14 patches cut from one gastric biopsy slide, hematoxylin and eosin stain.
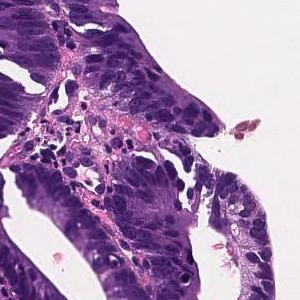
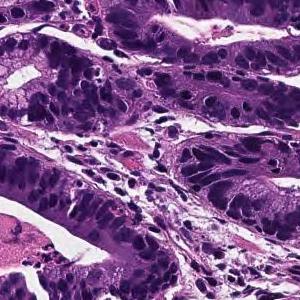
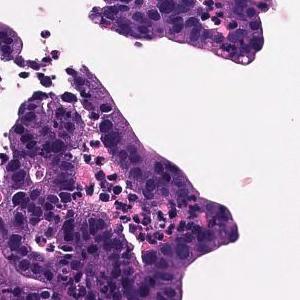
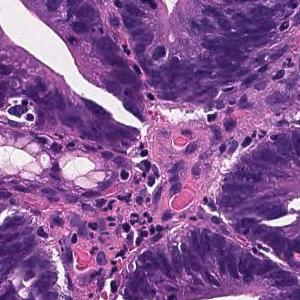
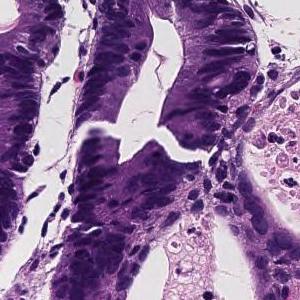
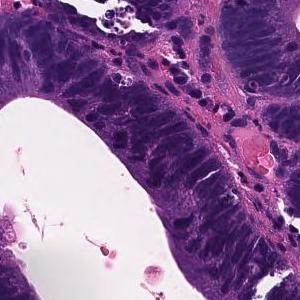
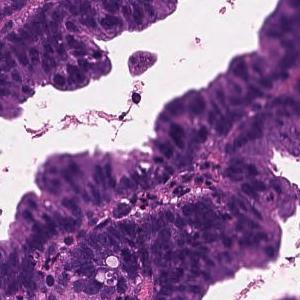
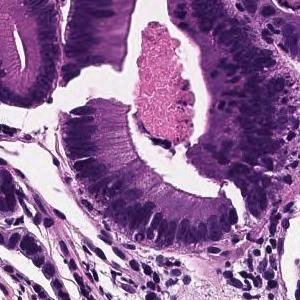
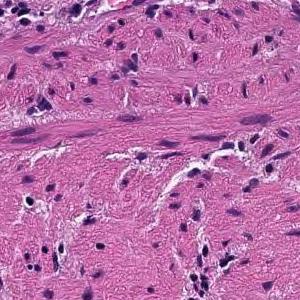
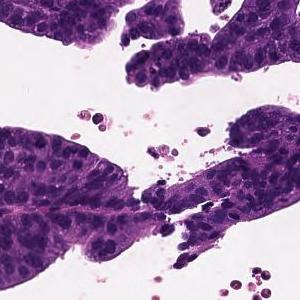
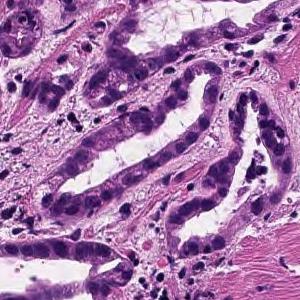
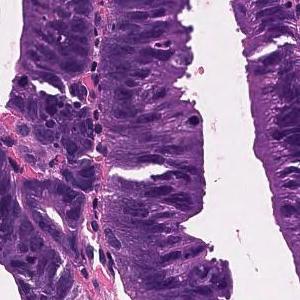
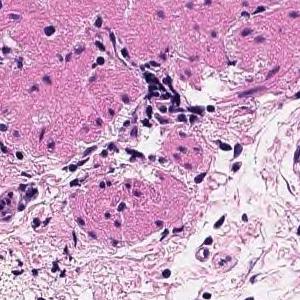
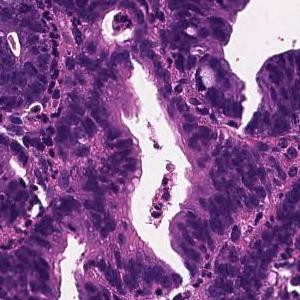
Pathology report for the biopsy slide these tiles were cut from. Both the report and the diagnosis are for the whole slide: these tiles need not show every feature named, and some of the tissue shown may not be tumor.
Tumor tissue consisting of large papillary structures is found in the superficial epithelium. Papillary adenocarcinoma.
